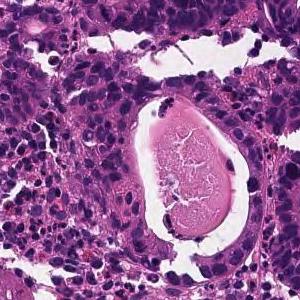
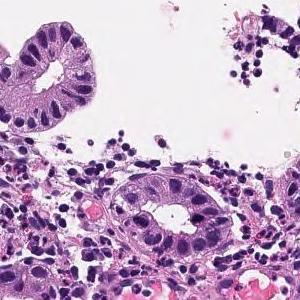
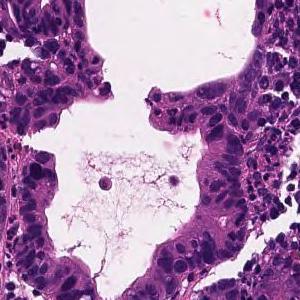
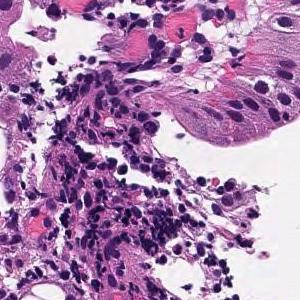
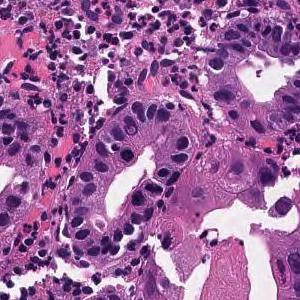
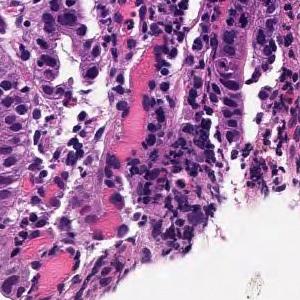
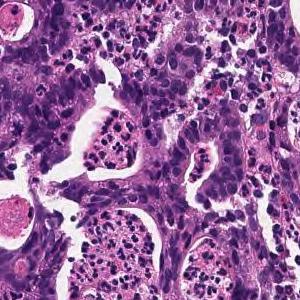
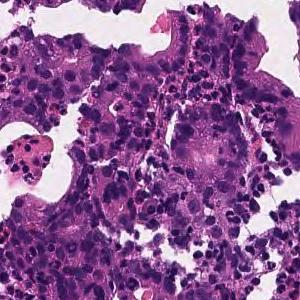
8 tiles from the same stomach biopsy slide, each 300 × 300 pixels, 20× magnification, hematoxylin and eosin stain.
Pathology report for the slide these tiles were cut from. The report describes the whole slide, diagnosis included: not every finding it names need appear in these tiles, which may also show non-tumor tissue.
In the superficial epithelium, tumor tissue that invades by forming medium-sized to small, irregular ducts is observed. moderately differentiated tubular adenocarcinoma.
